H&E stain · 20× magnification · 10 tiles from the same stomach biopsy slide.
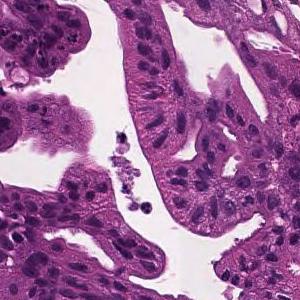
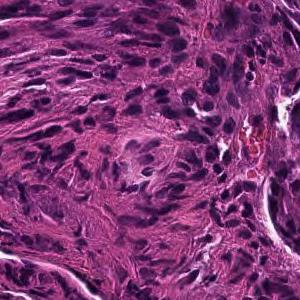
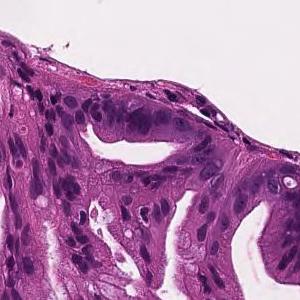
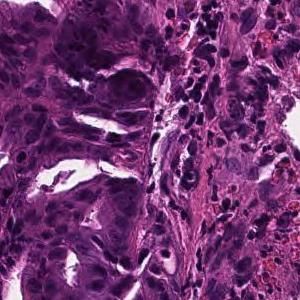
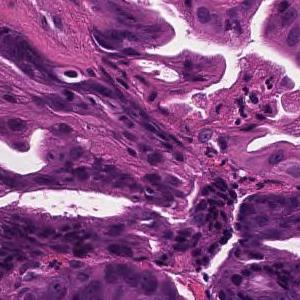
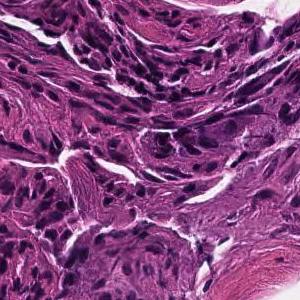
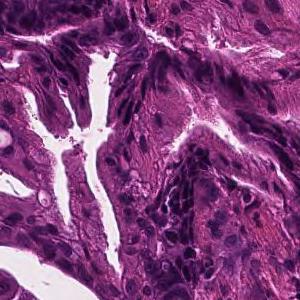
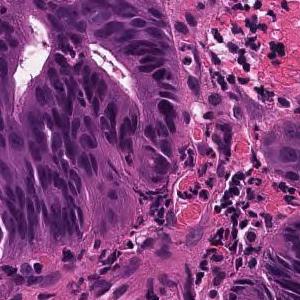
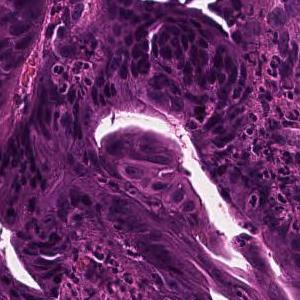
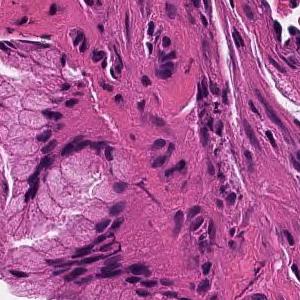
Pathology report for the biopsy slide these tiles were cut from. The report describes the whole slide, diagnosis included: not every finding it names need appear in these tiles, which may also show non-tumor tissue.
Tumor cells are large, highly columnar, large club-shaped nuclei, and are associated with chromatin aggregation. Papillary adenocarcinoma.
